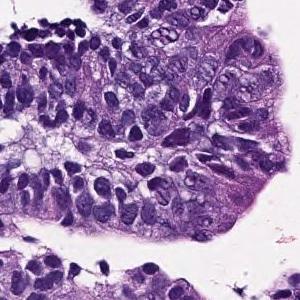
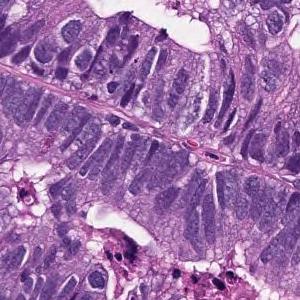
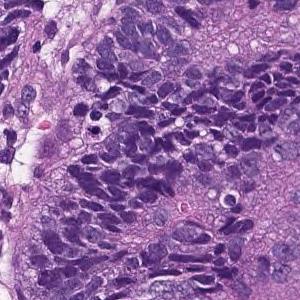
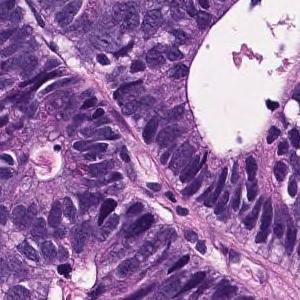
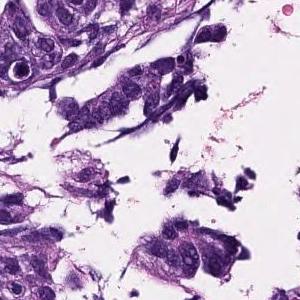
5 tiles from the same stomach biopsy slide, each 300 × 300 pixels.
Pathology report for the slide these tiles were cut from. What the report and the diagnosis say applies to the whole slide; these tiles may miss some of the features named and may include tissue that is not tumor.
In the superficial epithelium, tumor tissue that invades by forming medium-sized to small, irregular ducts is observed. moderately differentiated tubular adenocarcinoma.
